H&E stain; 7 patches cut from one gastric biopsy slide; 300×300 px each.
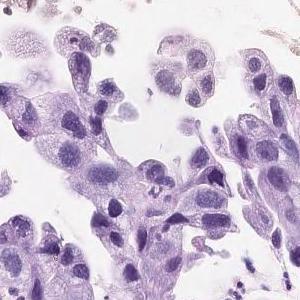
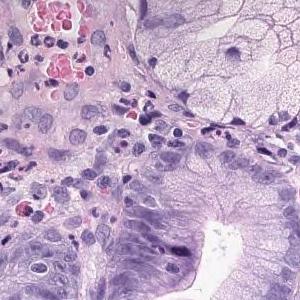
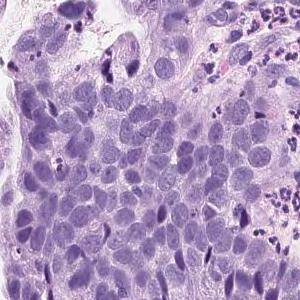
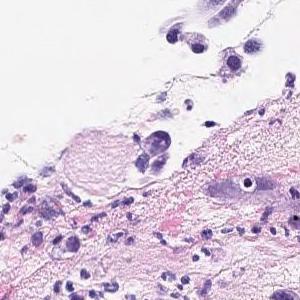
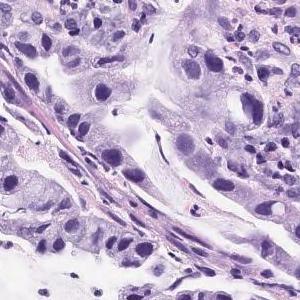
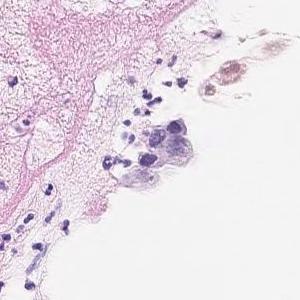
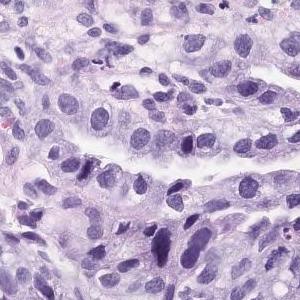
Diagnostic report for the slide these tiles come from. The report and the diagnosis describe the slide as a whole, so these tiles may not show every feature named and may include non-tumor tissue.
Atypical l cells with atypical nuclei forming solid or diffuse vesicles or small irregular atypical ducts and growing in a complex manner. Well differentiated tubular adenocarcinoma
